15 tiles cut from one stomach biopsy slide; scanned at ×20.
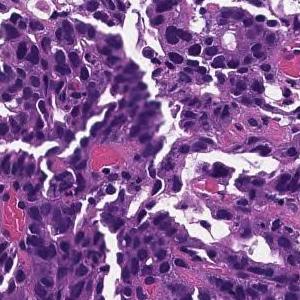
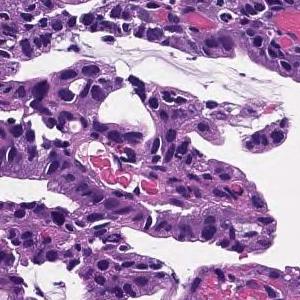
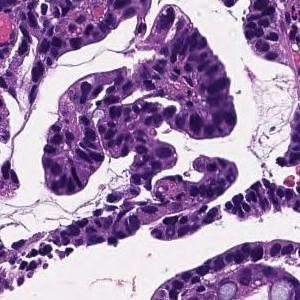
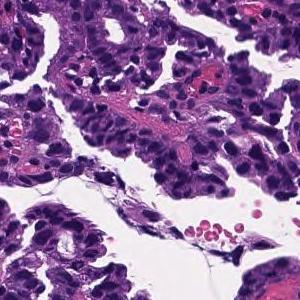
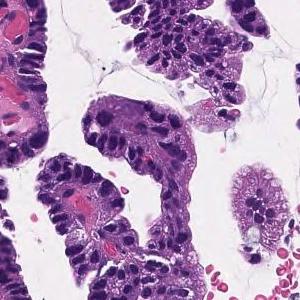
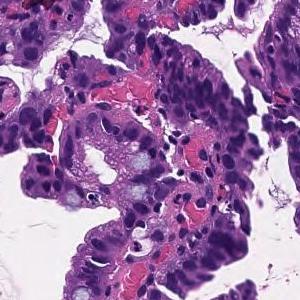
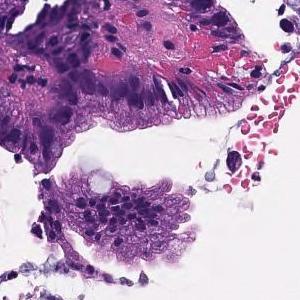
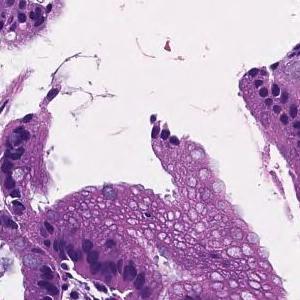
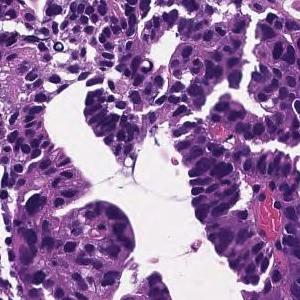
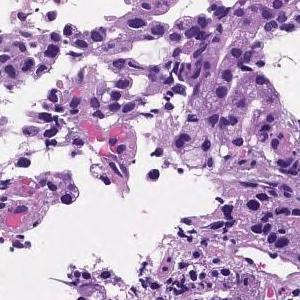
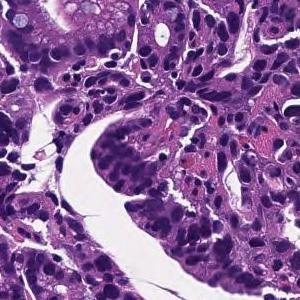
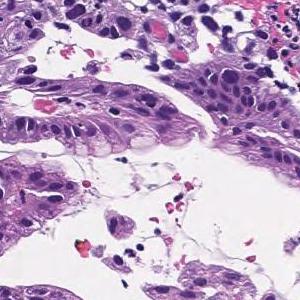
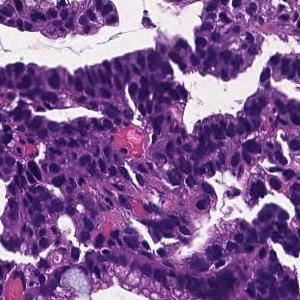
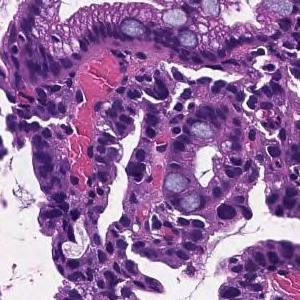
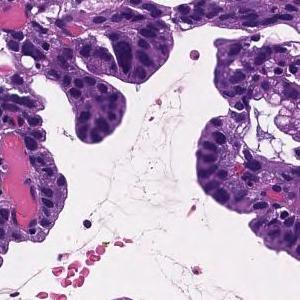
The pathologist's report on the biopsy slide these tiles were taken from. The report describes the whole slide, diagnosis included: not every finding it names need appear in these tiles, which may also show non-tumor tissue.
Tumor cells are large, highly columnar, large club-shaped nuclei, and are associated with chromatin aggregation. Papillary adenocarcinoma.
